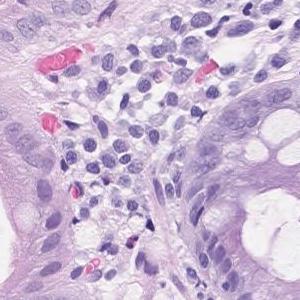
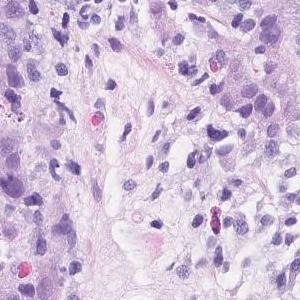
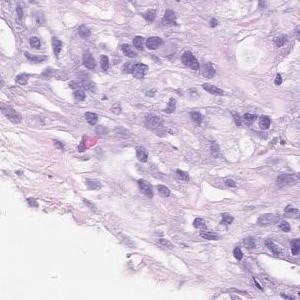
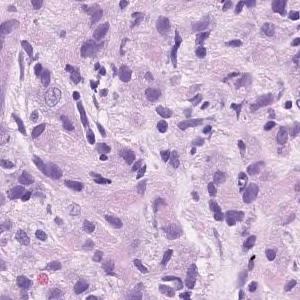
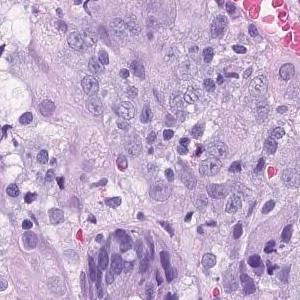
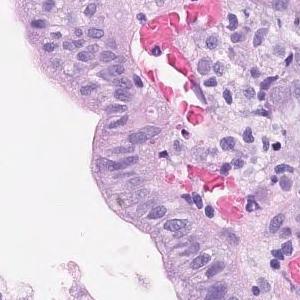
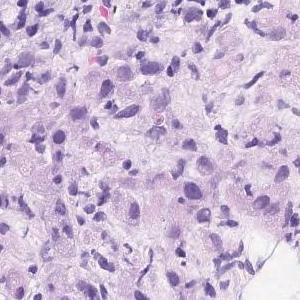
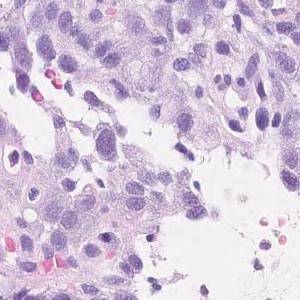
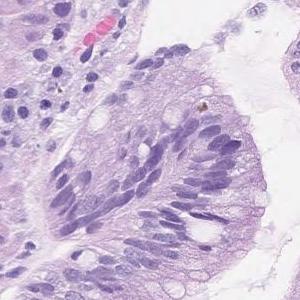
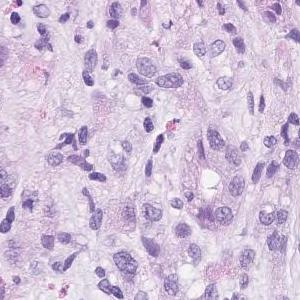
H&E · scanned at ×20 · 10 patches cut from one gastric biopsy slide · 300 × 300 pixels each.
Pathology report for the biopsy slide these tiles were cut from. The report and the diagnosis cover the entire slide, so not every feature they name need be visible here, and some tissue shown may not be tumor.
Group 5, Adenocarcinoma. Poorly differentiated adenocarcinoma, non-solid type
The non-solid type named here is a Japanese Classification of Gastric Carcinoma category.
